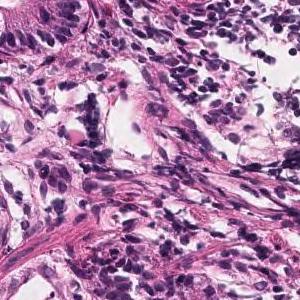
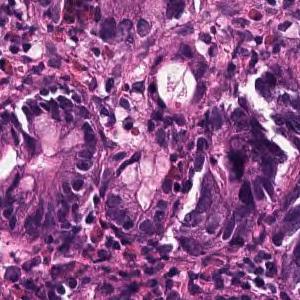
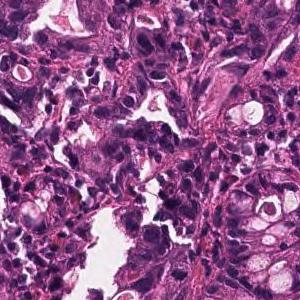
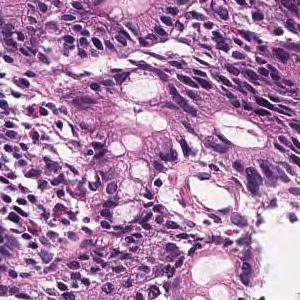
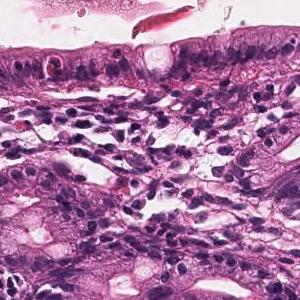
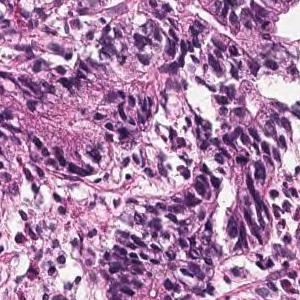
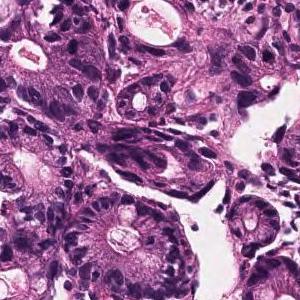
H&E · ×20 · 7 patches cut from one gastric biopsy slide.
The pathologist's report on the biopsy slide these tiles were taken from. Both the report and the diagnosis are for the whole slide: these tiles need not show every feature named, and some of the tissue shown may not be tumor.
On the superficial epithelium, tumor tissue consisting of large, irregular glandular ducts partially fused and infiltrated is observed. Well to moderately differentiated tubular adenocarcinoma (well differentiated tubular adenocarcinoma, moderately differentiated tubular adenocarcinoma)
Histological subtype: Well to moderately differentiated tubular adenocarcinoma.
